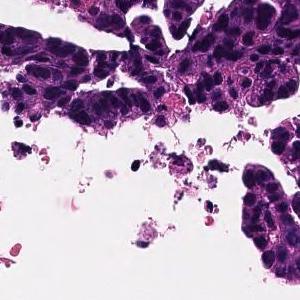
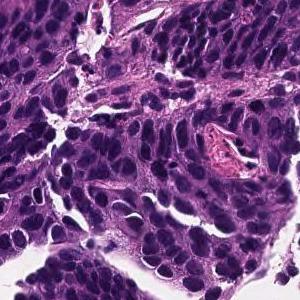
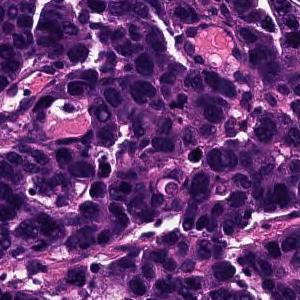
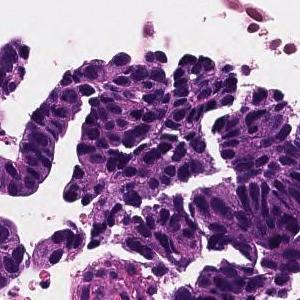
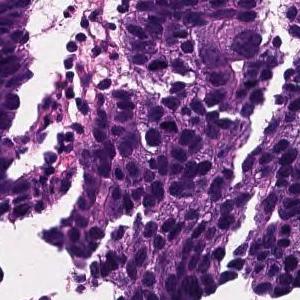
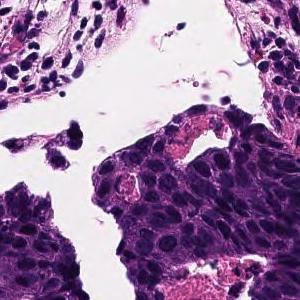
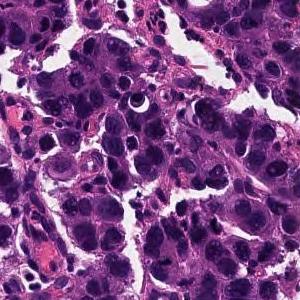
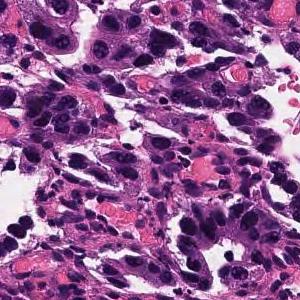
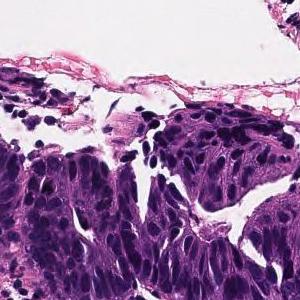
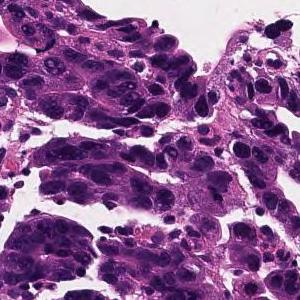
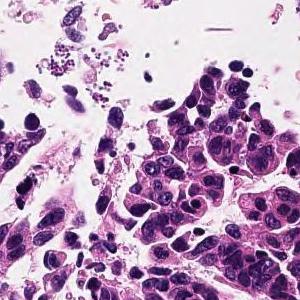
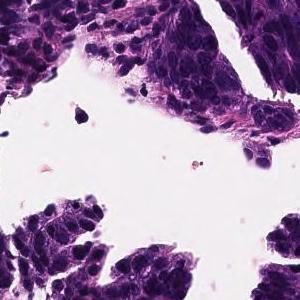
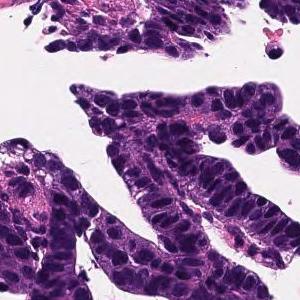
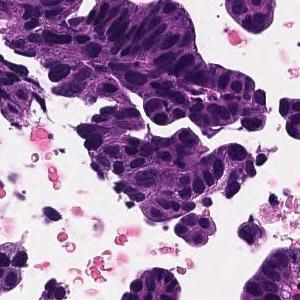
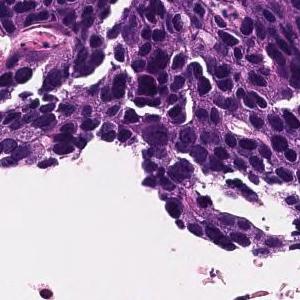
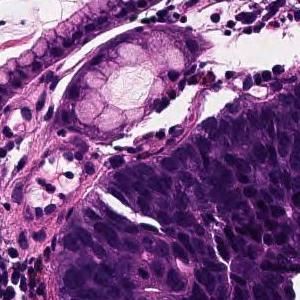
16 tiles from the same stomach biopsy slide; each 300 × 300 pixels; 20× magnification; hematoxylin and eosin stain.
Report on the slide these tiles come from. Both the report and the diagnosis are for the whole slide: these tiles need not show every feature named, and some of the tissue shown may not be tumor.
In the superficial epithelium, tumor tissue that invades by forming medium-sized to small, irregular ducts is observed. moderately differentiated tubular adenocarcinoma.
